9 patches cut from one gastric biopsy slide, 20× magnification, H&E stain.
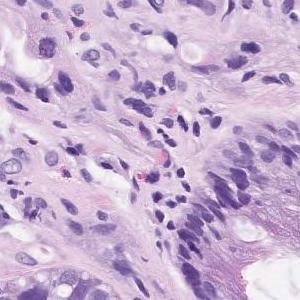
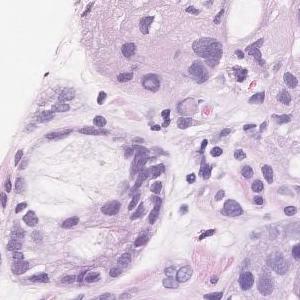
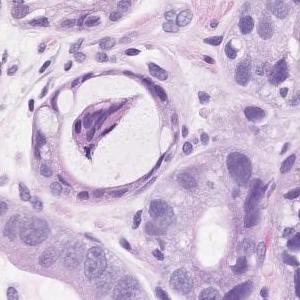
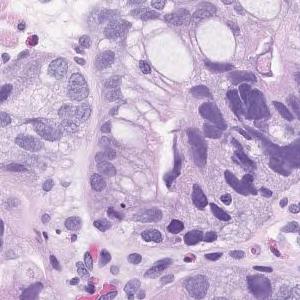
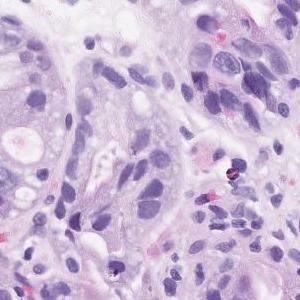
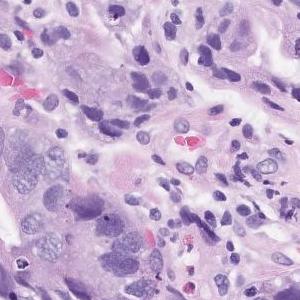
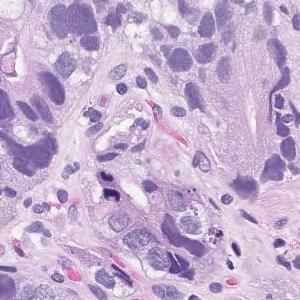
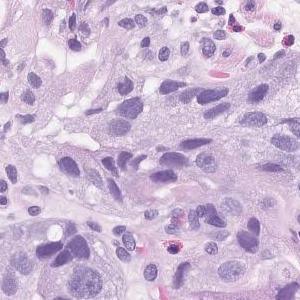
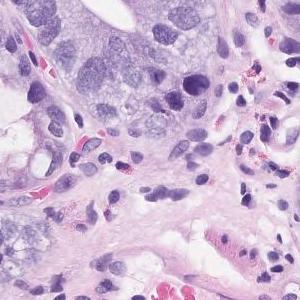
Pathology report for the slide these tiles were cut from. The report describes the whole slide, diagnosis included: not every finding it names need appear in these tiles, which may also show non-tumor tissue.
Atypical l cells with atypical nuclei forming solid or diffuse vesicles or small irregular atypical ducts and growing in a complex manner. moderately differentiated tubular adenocarcinoma
